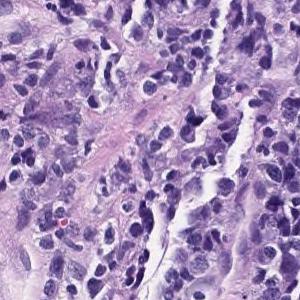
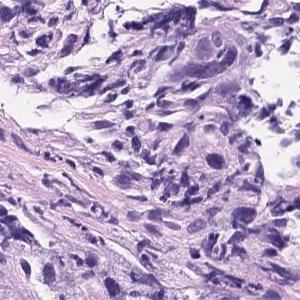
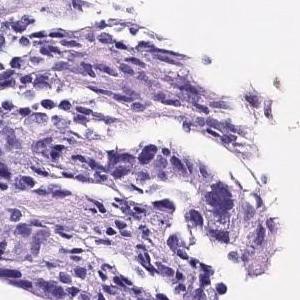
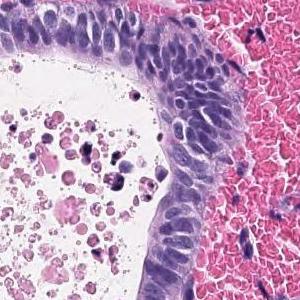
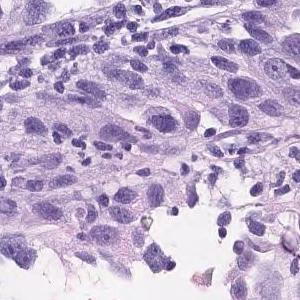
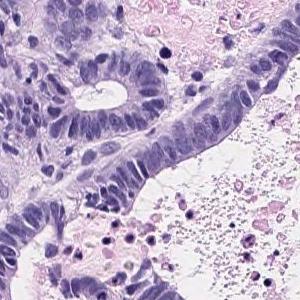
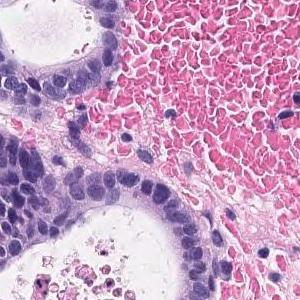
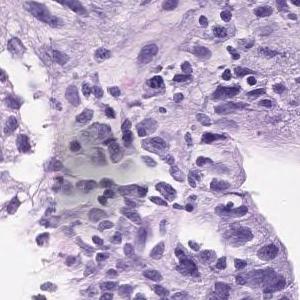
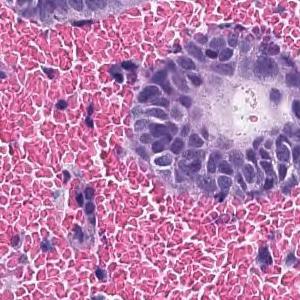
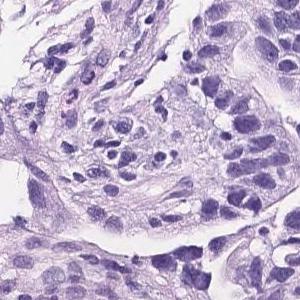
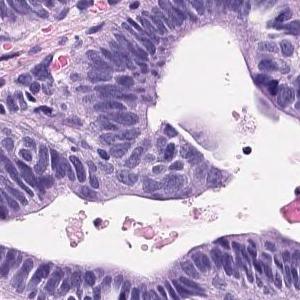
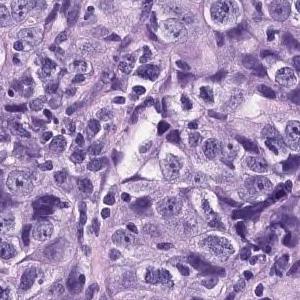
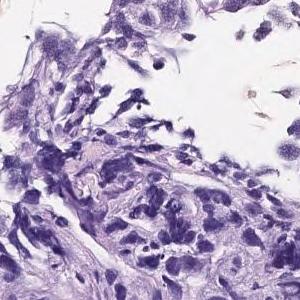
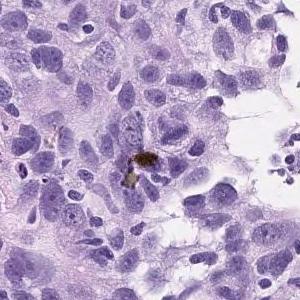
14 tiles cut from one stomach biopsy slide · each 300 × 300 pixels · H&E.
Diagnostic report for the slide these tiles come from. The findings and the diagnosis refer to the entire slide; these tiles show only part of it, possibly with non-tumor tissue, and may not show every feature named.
The superficial epithelium shows a large sheet-like shape, and some tumor tissue infiltrates with small irregular ducts. Poorly differentiated adenocarcinoma, solid-type
Classified as poorly differentiated adenocarcinoma, solid type. This name comes from the Japanese Classification of Gastric Carcinoma; the WHO 2019 classification calls it tubular adenocarcinoma, poorly differentiated.
